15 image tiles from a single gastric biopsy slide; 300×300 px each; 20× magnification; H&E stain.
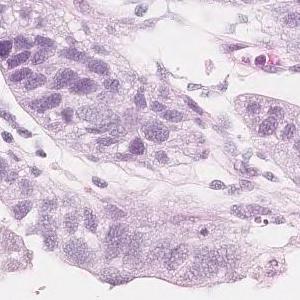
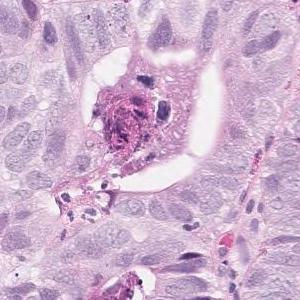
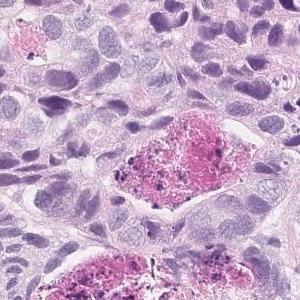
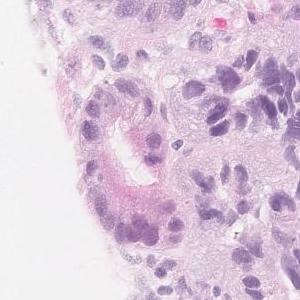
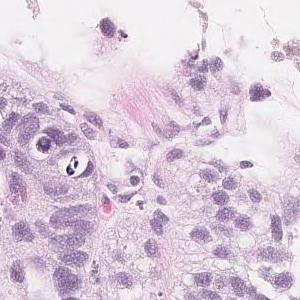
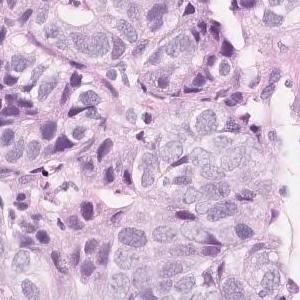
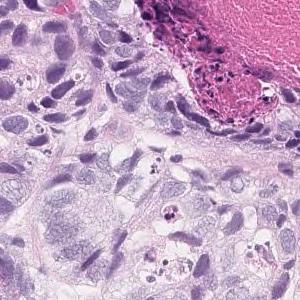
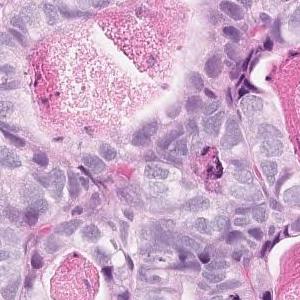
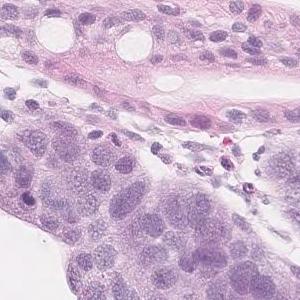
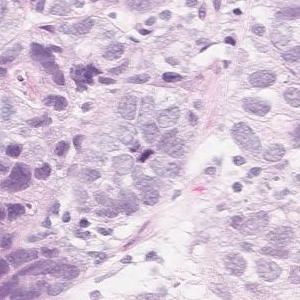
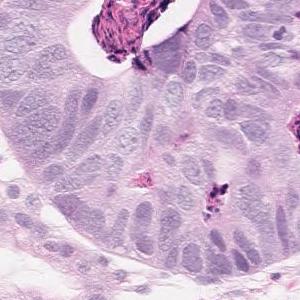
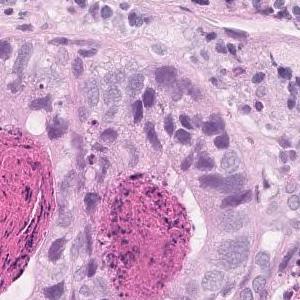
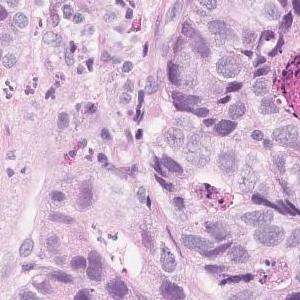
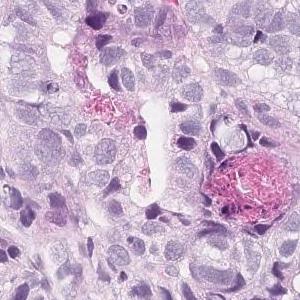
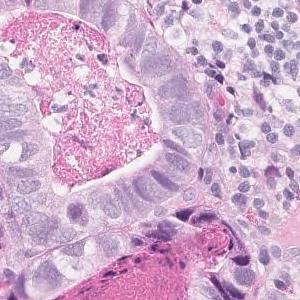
Pathology report for the biopsy slide these tiles were cut from. The report and the diagnosis describe the slide as a whole, so these tiles may not show every feature named and may include non-tumor tissue.
In the superficial epithelium, tumor tissue that invades by forming medium-sized to small, irregular ducts is observed. Moderately differentiated adenocarcinoma.
Subtype: Moderately differentiated tubular adenocarcinoma.
